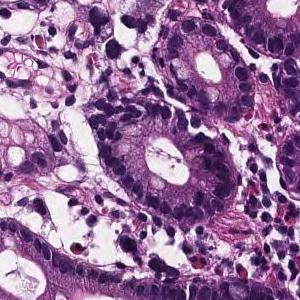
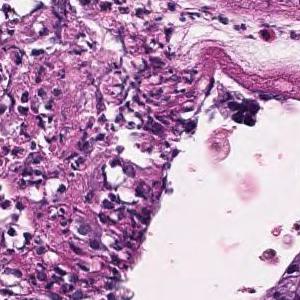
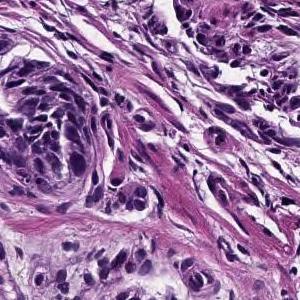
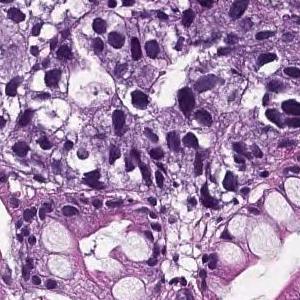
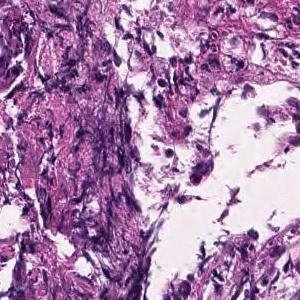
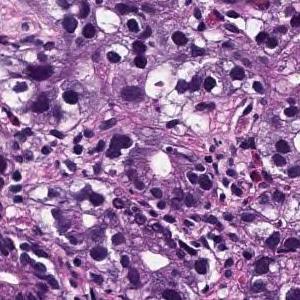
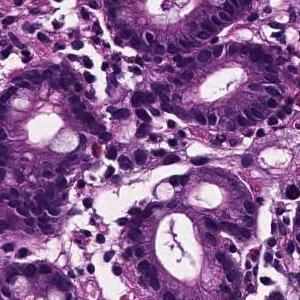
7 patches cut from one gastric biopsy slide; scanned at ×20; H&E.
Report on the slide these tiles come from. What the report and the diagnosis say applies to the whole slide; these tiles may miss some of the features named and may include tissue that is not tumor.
In the superficial epithelium, medium to small irregular gland ducts are formed, and in some cases, the ducts are fused to show solid alveolar lesions and infiltrating tumor tissue is observed. Moderately to poorly differentiated adenocarcinoma
